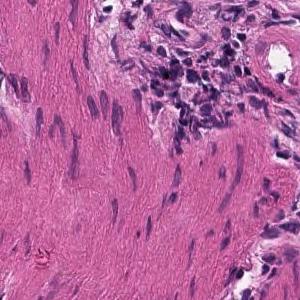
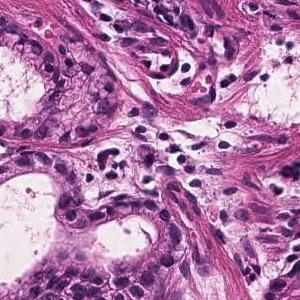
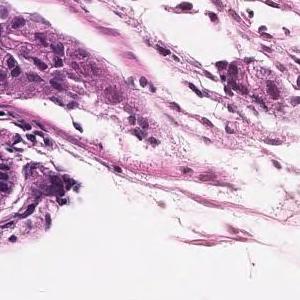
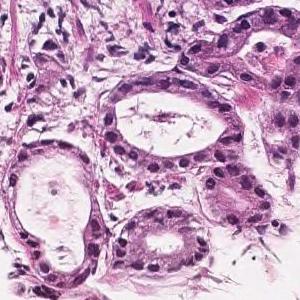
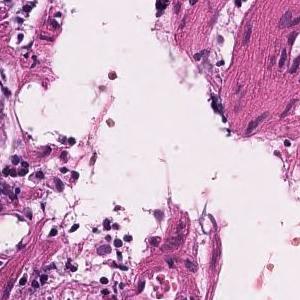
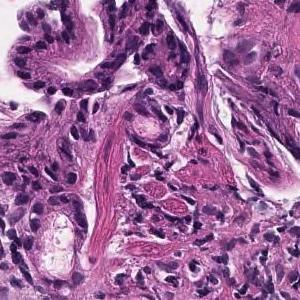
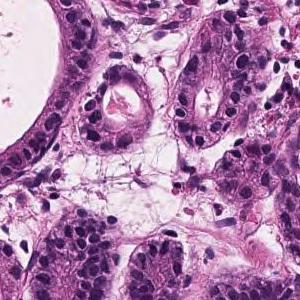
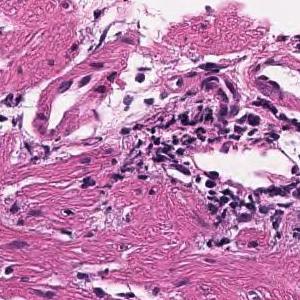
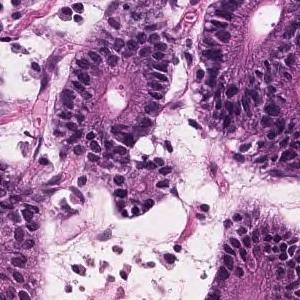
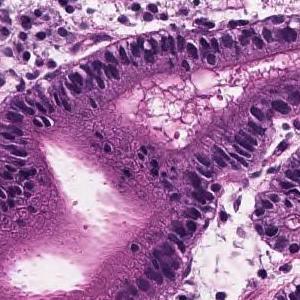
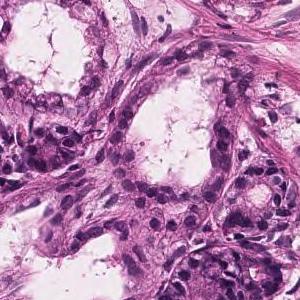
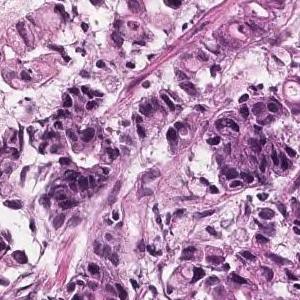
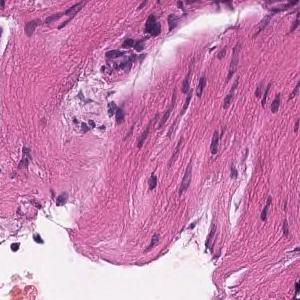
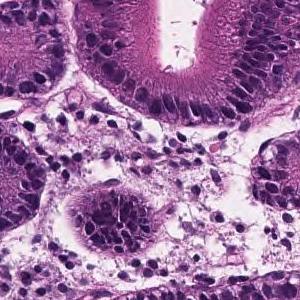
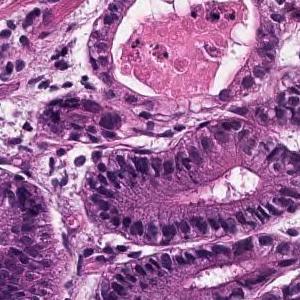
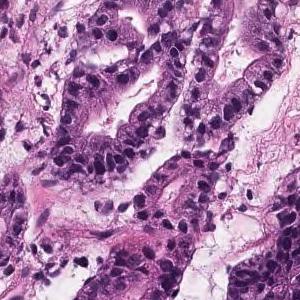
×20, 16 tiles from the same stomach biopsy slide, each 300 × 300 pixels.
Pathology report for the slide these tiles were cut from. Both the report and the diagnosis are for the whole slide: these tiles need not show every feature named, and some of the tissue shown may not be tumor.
Tumor tissue with atypical epithelium showing irregular ductal or sieving ductal structure and proliferating is observed. Well to moderately differentiated tubular adenocarcinoma (well differentiated tubular adenocarcinoma-moderately differentiated tubular adenocarcinoma)
Tumor subtype: well to moderately differentiated tubular adenocarcinoma.
